15 tiles from the same stomach biopsy slide.
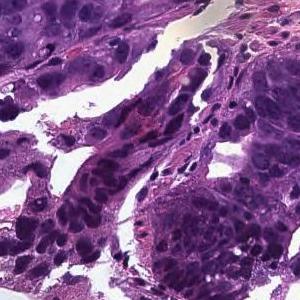
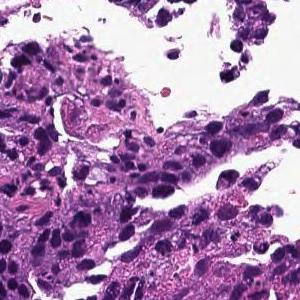
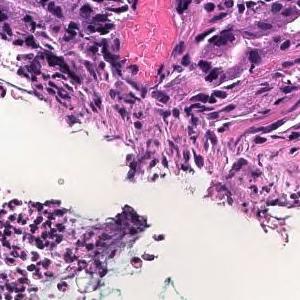
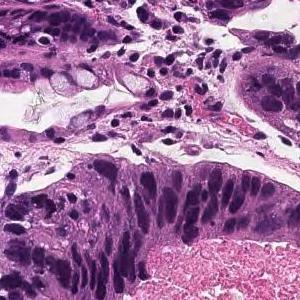
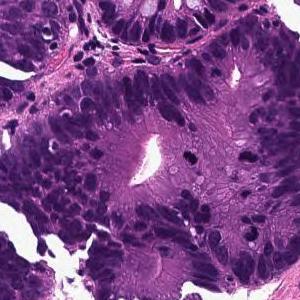
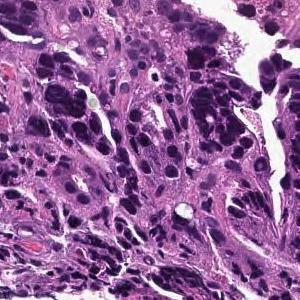
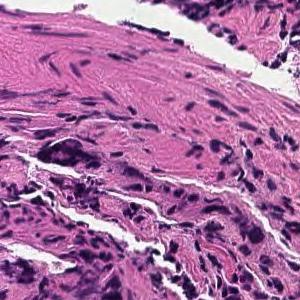
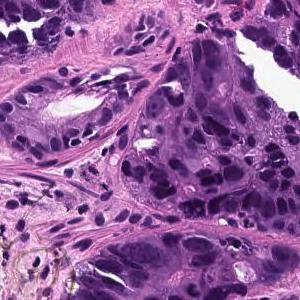
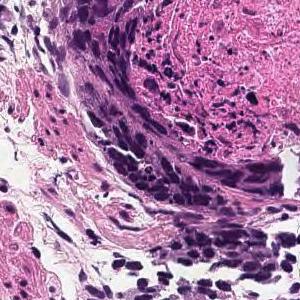
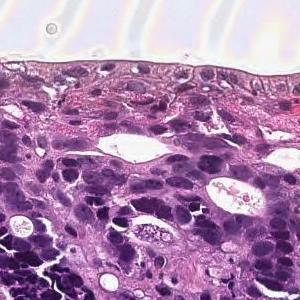
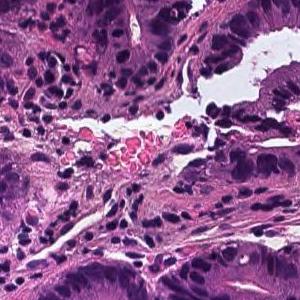
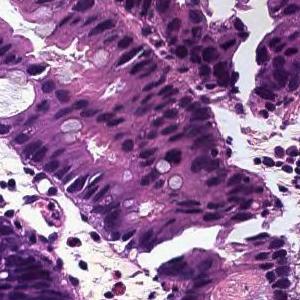
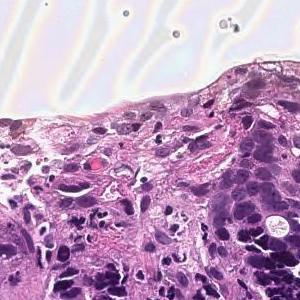
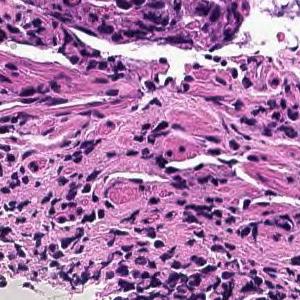
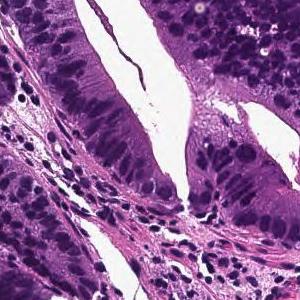
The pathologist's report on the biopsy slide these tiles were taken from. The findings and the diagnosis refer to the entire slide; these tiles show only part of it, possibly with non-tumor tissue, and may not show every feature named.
In the superficial epithelium, tumor tissue that invades by forming medium-sized to small, irregular ducts is observed. moderately differentiated tubular adenocarcinoma.
